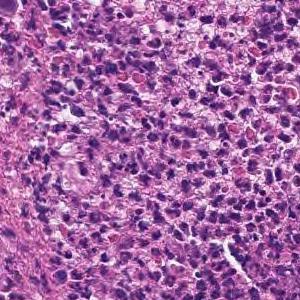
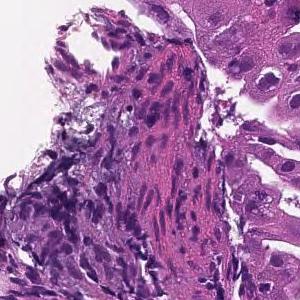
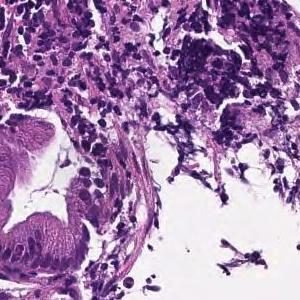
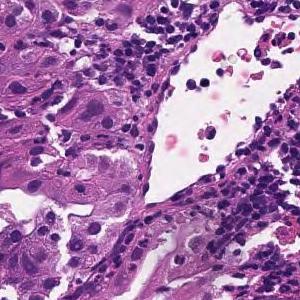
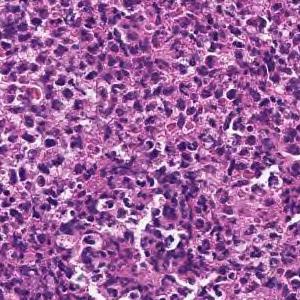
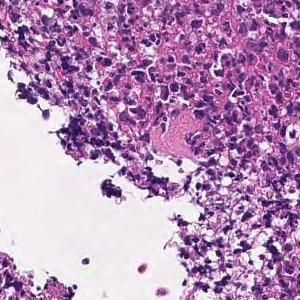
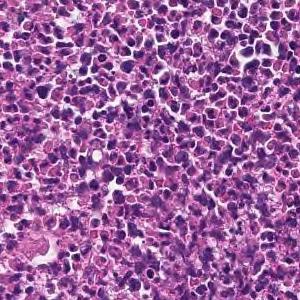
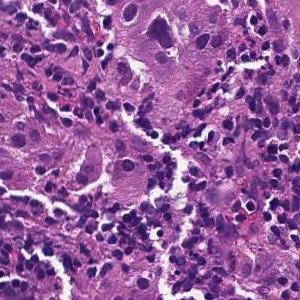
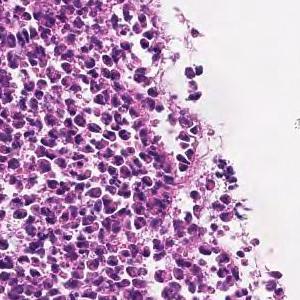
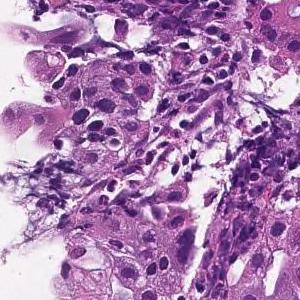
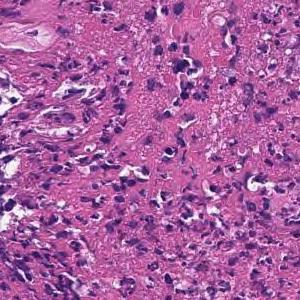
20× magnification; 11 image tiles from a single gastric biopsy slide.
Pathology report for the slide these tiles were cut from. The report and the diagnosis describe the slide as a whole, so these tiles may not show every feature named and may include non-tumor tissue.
In the superficial epithelium, tumor tissue infiltrated by partial fusion of medium-sized to small, irregular glandular ducts is observed. moderately differentiated tubular adenocarcinoma
